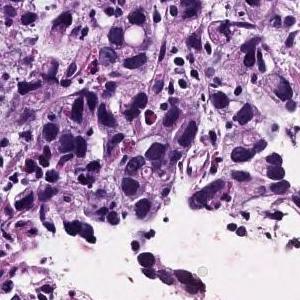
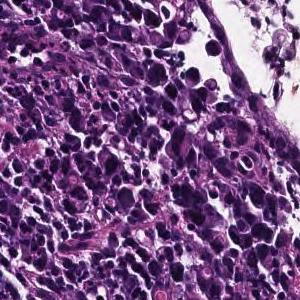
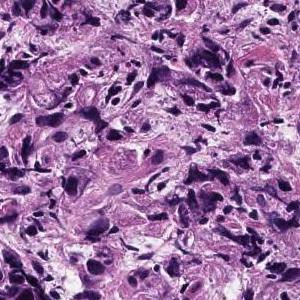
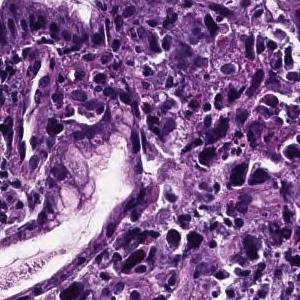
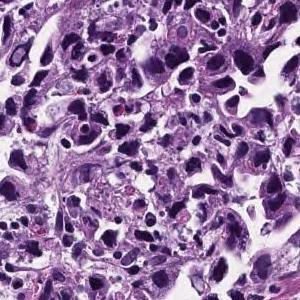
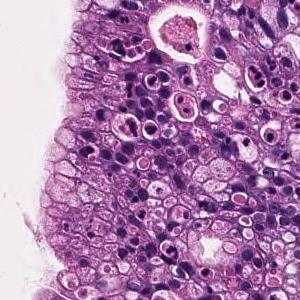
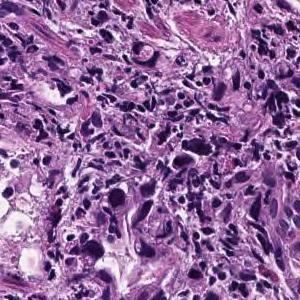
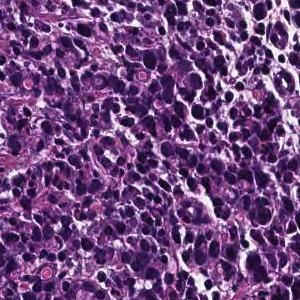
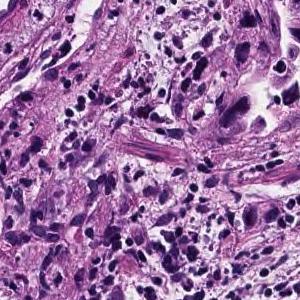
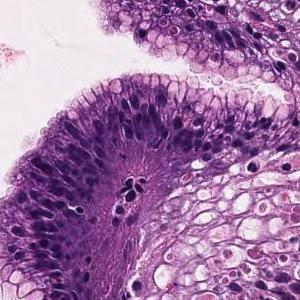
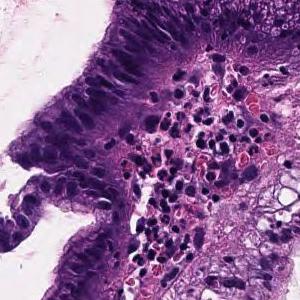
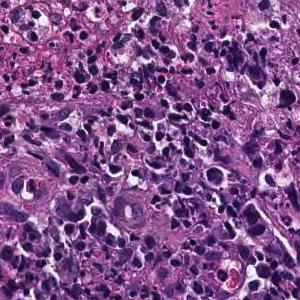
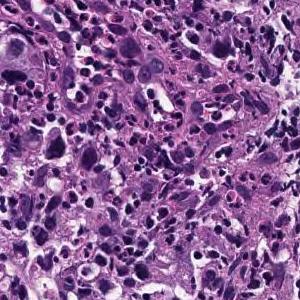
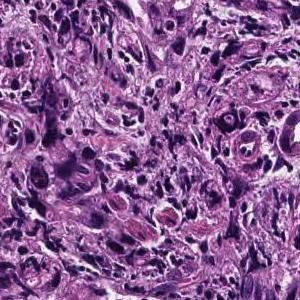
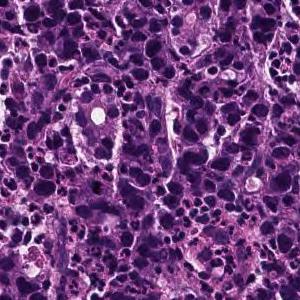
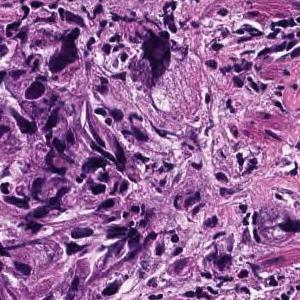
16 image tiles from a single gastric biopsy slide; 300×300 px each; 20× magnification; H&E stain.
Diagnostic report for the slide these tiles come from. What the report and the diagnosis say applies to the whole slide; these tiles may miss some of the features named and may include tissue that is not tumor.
The superficial epithelium shows a large sheet-like shape, and some tumor tissue infiltrates with small irregular ducts. Poorly differentiated adenocarcinoma, solid-type
Histological subtype: Poorly differentiated adenocarcinoma, solid type. This name comes from the Japanese Classification of Gastric Carcinoma; the WHO 2019 classification calls it tubular adenocarcinoma, poorly differentiated.
